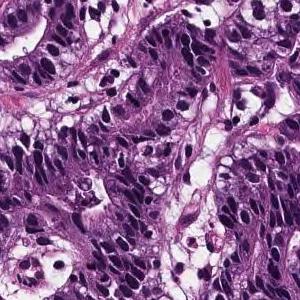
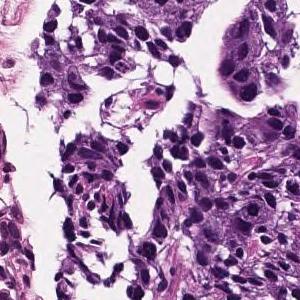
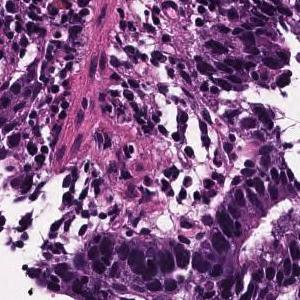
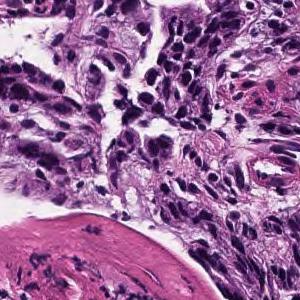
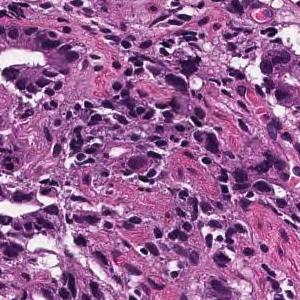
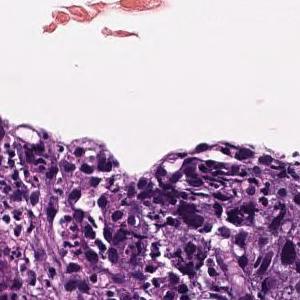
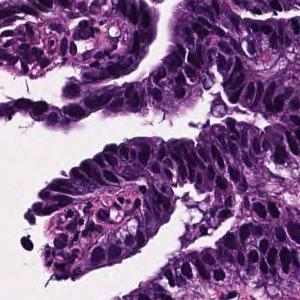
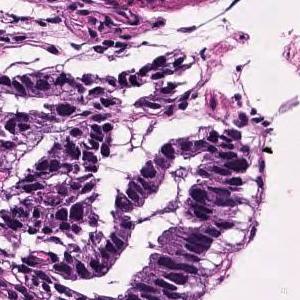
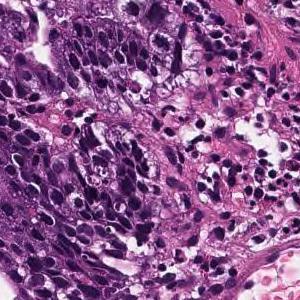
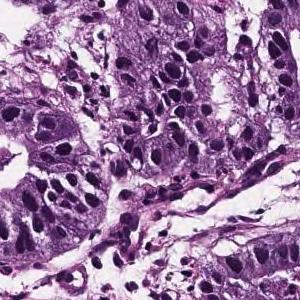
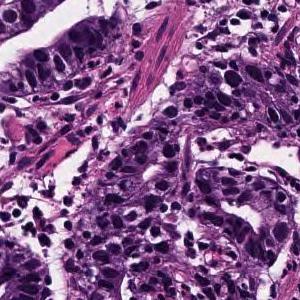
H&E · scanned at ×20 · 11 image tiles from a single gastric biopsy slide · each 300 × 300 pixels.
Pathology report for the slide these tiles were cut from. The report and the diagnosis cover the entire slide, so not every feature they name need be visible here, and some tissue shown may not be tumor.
Atypical l cells with atypical nuclei forming diffuse or small irregular atypical ducts and growing. Moderately to poorly differentiated adenocarcinoma (poorly differentiated adenocarcinoma, solid type moderately differentiated tubular adenocarcinoma)
Subtype: Moderately to poorly differentiated adenocarcinoma.
The term "solid type" comes from the Japanese Classification of Gastric Carcinoma; the WHO 2019 equivalent is tubular adenocarcinoma, poorly differentiated.
